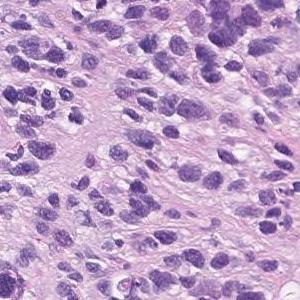
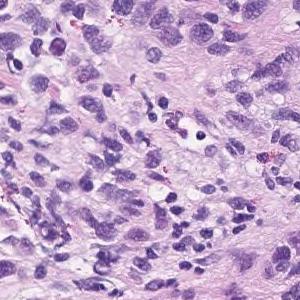
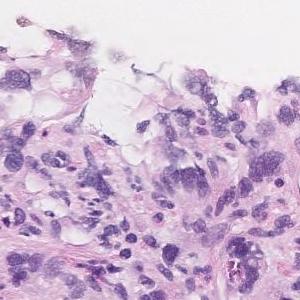
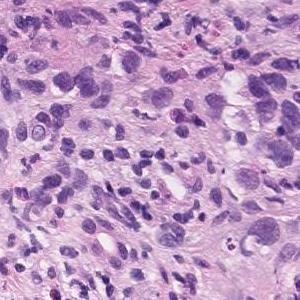
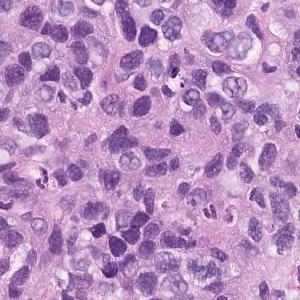
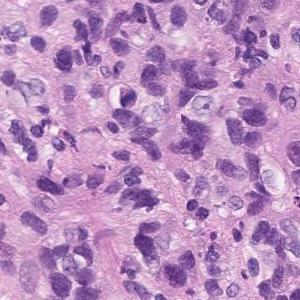
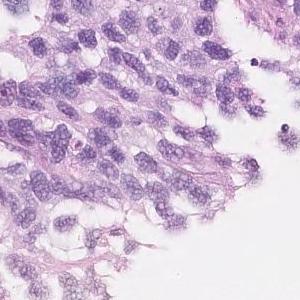
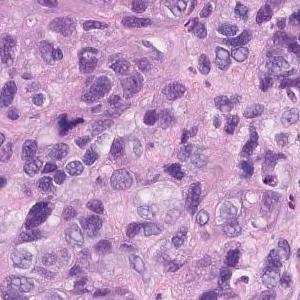
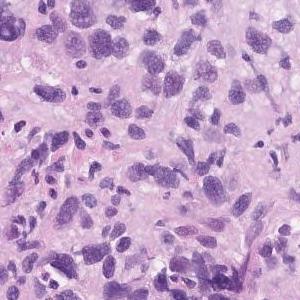
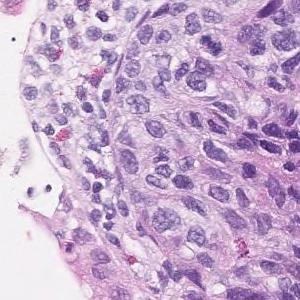
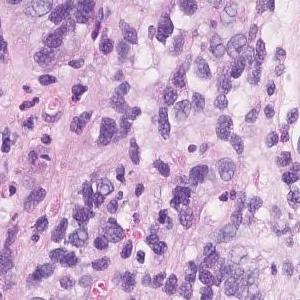
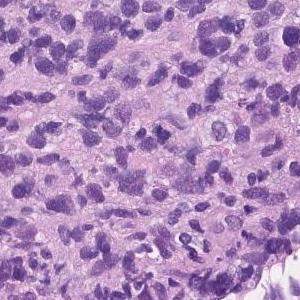
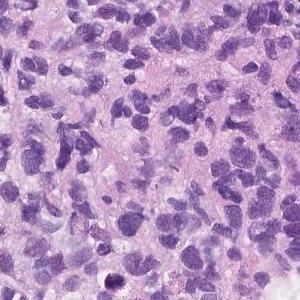
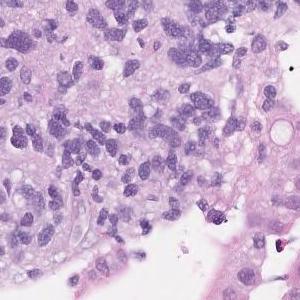
H&E stain; 14 tiles from the same stomach biopsy slide.
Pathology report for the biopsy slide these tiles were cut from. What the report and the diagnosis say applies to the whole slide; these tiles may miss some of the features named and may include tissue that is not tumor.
Atypical l cells with atypical nuclei under the mucosa growing in isolation and scattered. Poorly differentiated adenocarcinoma (poorly differentiated adenocarcinoma, non-solid type)
Histological subtype: Poorly differentiated adenocarcinoma, non-solid type.
The non-solid type named here is a Japanese Classification of Gastric Carcinoma category.
